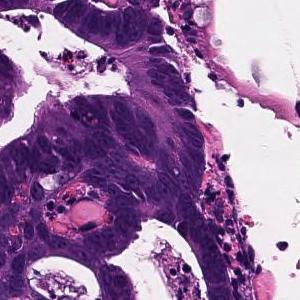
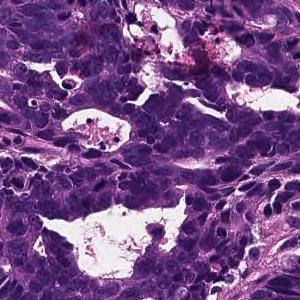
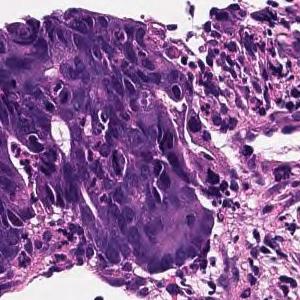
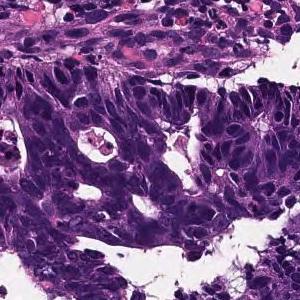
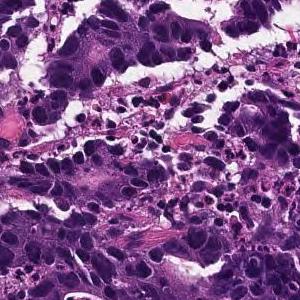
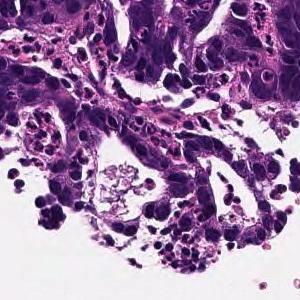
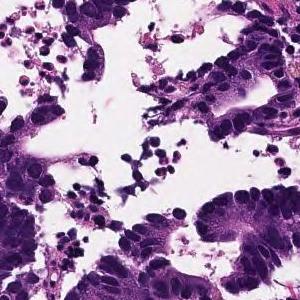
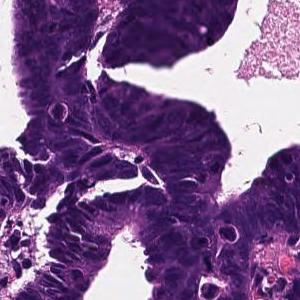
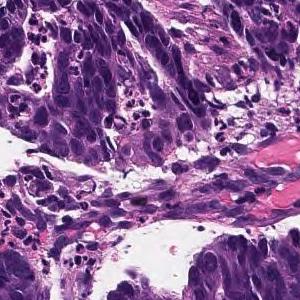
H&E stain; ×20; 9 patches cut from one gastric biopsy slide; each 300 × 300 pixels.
Diagnostic report for the slide these tiles come from. The report and the diagnosis cover the entire slide, so not every feature they name need be visible here, and some tissue shown may not be tumor.
In the superficial epithelium, tumor tissue that invades by forming medium-sized to small, irregular ducts is observed. moderately differentiated tubular adenocarcinoma.
